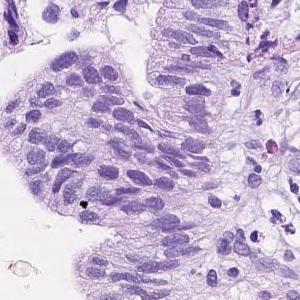
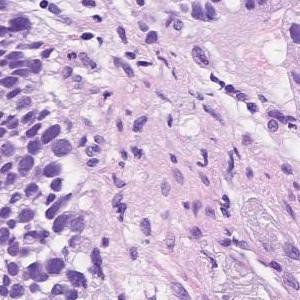
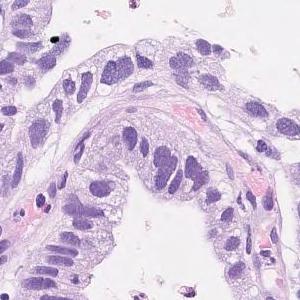
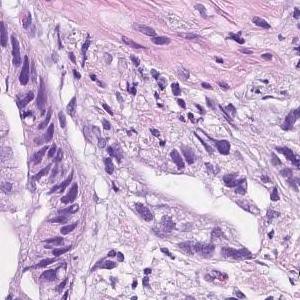
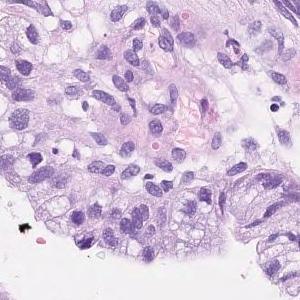
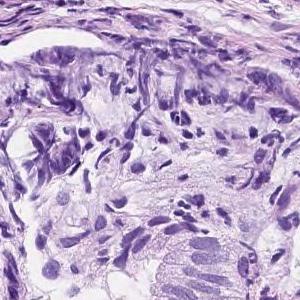
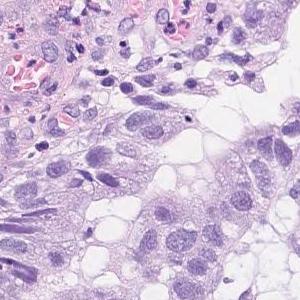
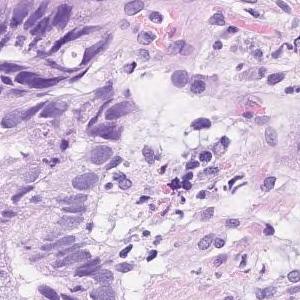
×20; hematoxylin and eosin stain; 8 tiles cut from one stomach biopsy slide.
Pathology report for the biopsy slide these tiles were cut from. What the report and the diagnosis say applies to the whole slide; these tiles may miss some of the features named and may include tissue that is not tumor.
Atypical l cells with atypical nuclei forming solid or diffuse vesicles or small irregular atypical ducts and growing in a complex manner. moderately differentiated tubular adenocarcinoma
